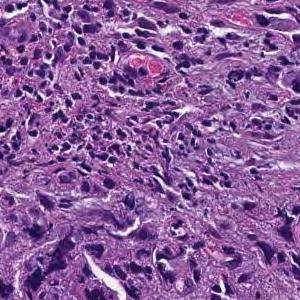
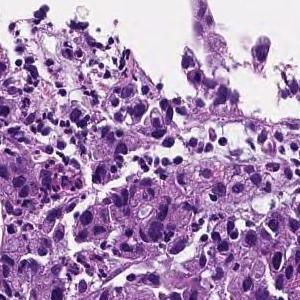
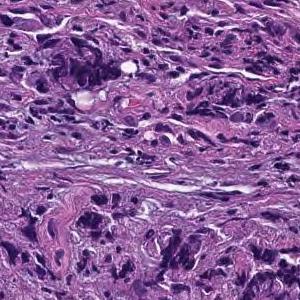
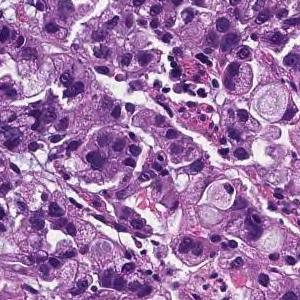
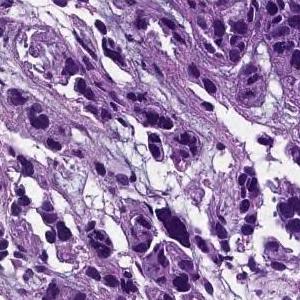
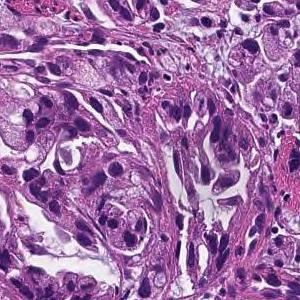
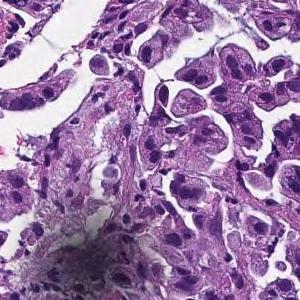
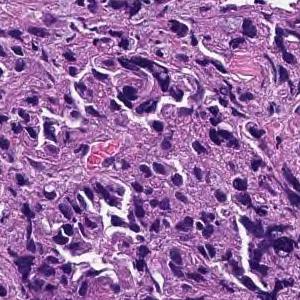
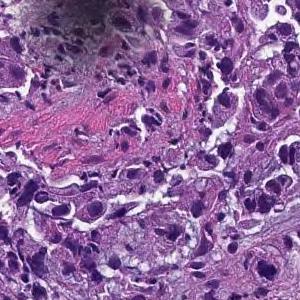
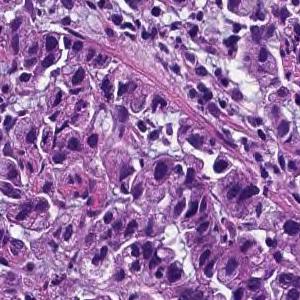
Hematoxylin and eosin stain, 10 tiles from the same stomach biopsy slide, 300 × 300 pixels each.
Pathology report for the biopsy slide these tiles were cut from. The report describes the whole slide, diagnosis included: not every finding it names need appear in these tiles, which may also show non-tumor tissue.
Tumor tissue consisting of medium-sized, cord-like or irregular glandular infiltration is observed in the superficial epithelium. Poorly differentiated adenocarcinoma, non-solid type or moderately differentiated tubular adenocarcinoma
Subtype: Moderately to poorly differentiated adenocarcinoma.
The non-solid type named here is a Japanese Classification of Gastric Carcinoma category.
